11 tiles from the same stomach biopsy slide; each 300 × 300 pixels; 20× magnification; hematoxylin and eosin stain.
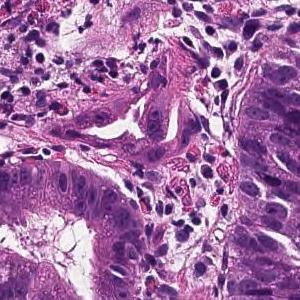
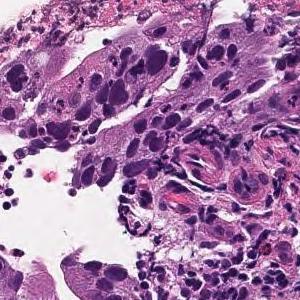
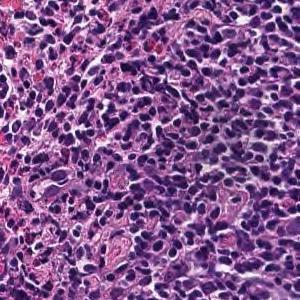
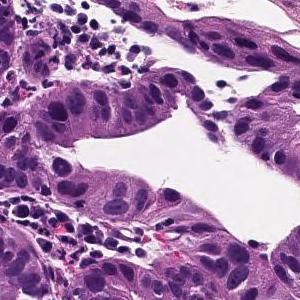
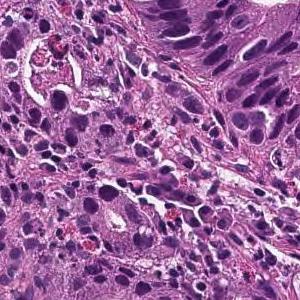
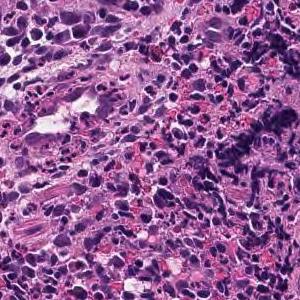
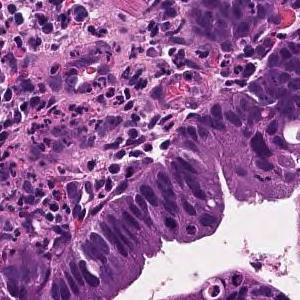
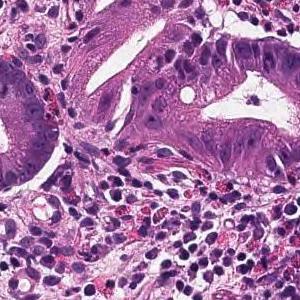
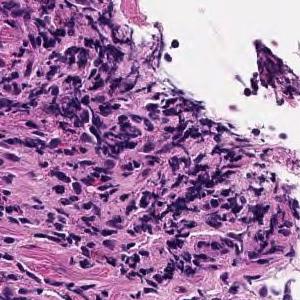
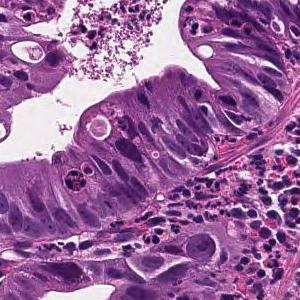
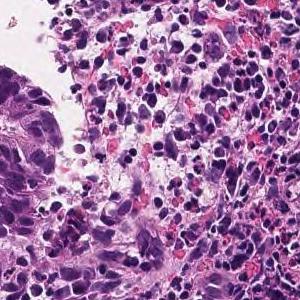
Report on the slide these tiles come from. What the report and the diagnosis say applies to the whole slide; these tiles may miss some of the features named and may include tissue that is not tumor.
From the superficial epithelium to the muscularis mucosae, tumor tissue consisting of medium-sized and irregular glandular ducts infiltrating is observed. Well differentiated tubular adenocarcinoma
